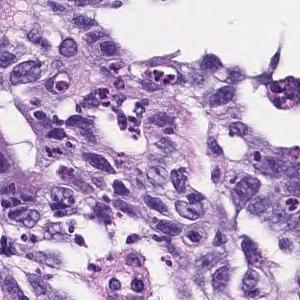
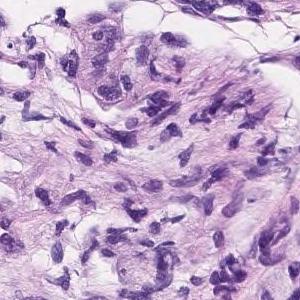
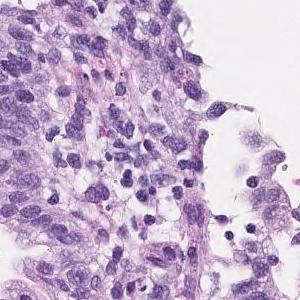
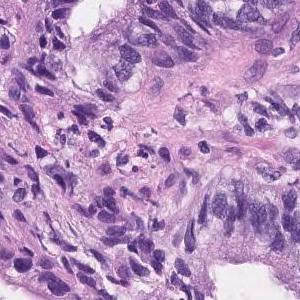
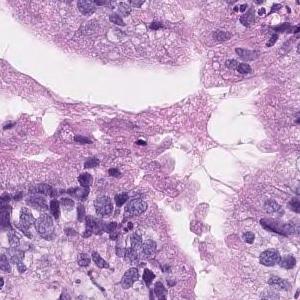
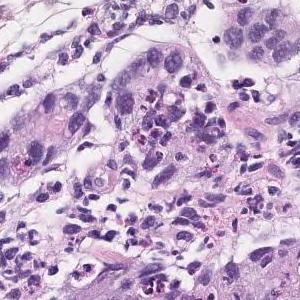
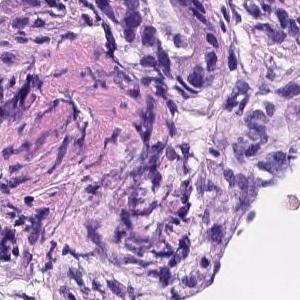
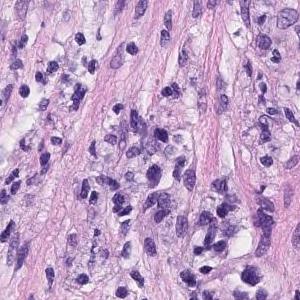
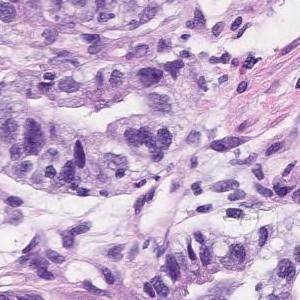
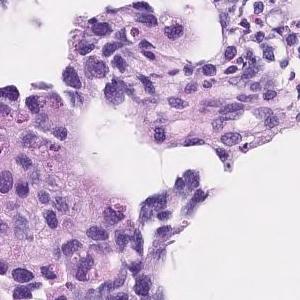
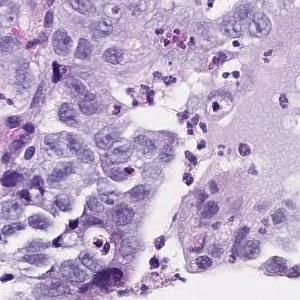
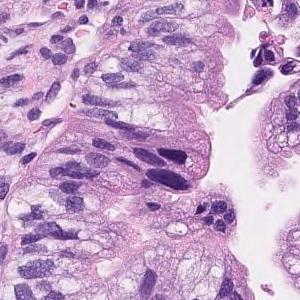
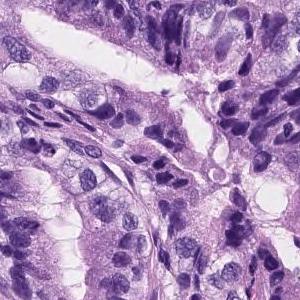
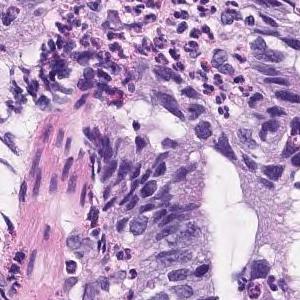
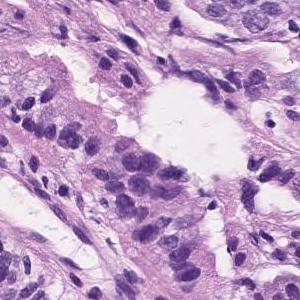
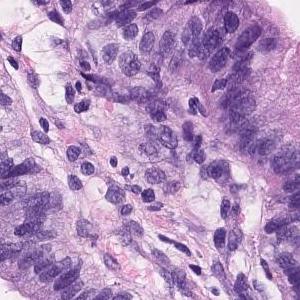
16 tiles from the same stomach biopsy slide; hematoxylin and eosin stain; ×20.
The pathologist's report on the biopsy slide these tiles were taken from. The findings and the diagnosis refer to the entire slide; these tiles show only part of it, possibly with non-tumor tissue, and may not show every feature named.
Tumor cells are large, highly columnar, large club-shaped nuclei, and are associated with chromatin aggregation. Papillary adenocarcinoma.
